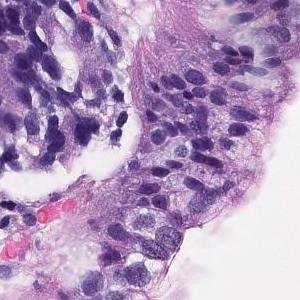
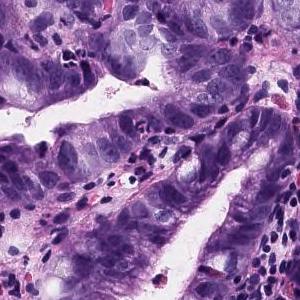
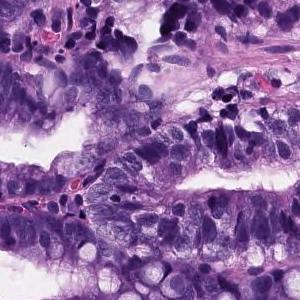
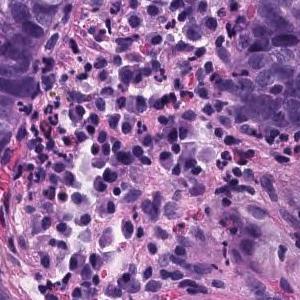
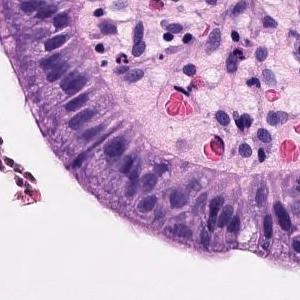
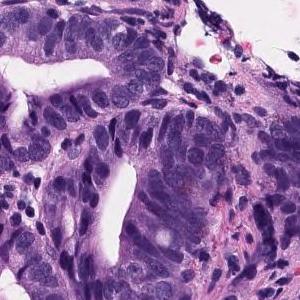
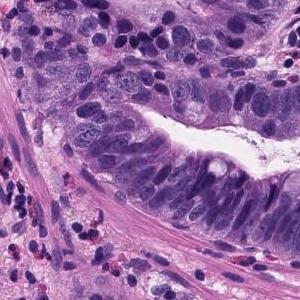
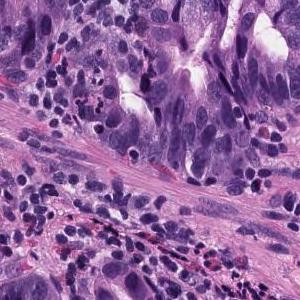
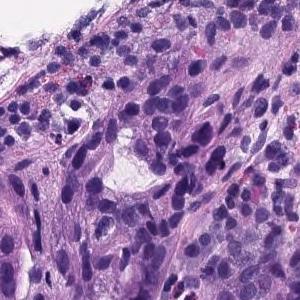
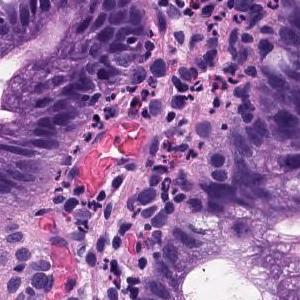
×20; H&E stain; 10 image tiles from a single gastric biopsy slide; each 300 × 300 pixels.
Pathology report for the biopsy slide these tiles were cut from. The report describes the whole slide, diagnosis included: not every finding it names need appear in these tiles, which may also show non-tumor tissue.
Tumor cells with strong nuclear atypia proliferate invasively, forming small to medium-sized irregular shaped ducts. moderately differentiated tubular adenocarcinoma
